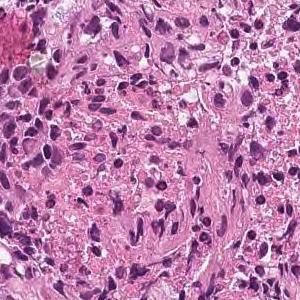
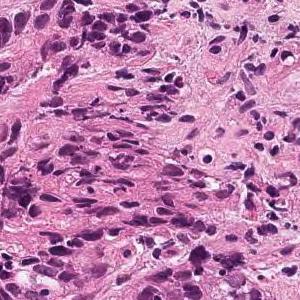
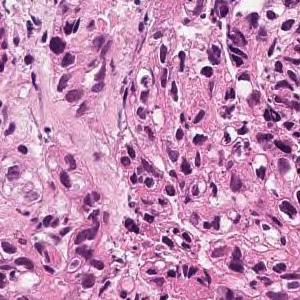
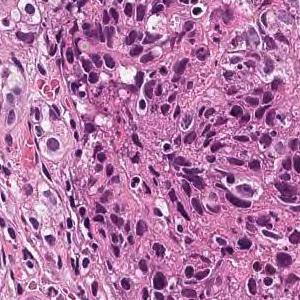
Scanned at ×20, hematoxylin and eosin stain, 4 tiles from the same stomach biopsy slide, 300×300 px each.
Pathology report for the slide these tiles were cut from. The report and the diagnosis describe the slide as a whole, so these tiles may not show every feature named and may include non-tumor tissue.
Medium to small, irregular glandular ducts are formed in the superficial epithelium, and in some cases, the glandular ducts are fused to show solid alveolar lesions and infiltrating tumor tissue is observed. Moderately to poorly differentiated adenocarcinoma.
